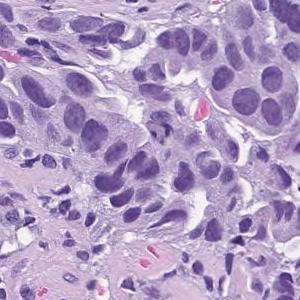
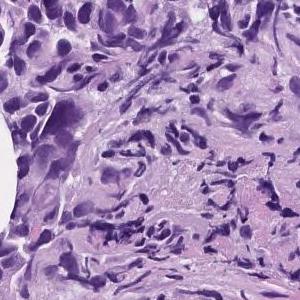
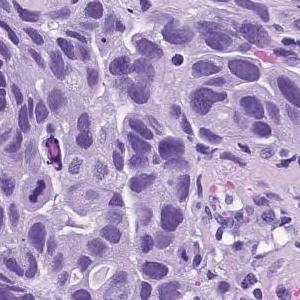
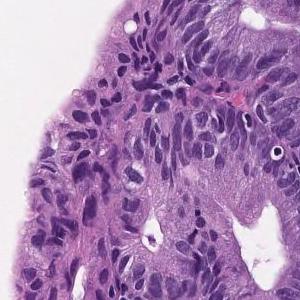
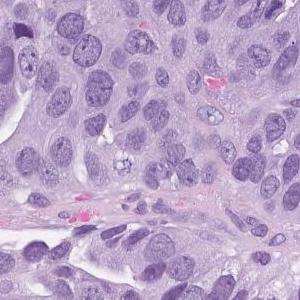
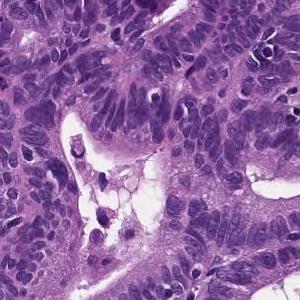
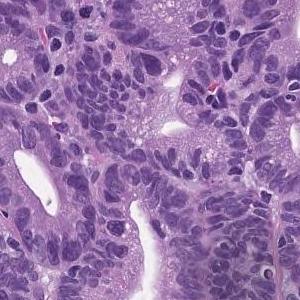
Hematoxylin and eosin stain; 7 tiles from the same stomach biopsy slide.
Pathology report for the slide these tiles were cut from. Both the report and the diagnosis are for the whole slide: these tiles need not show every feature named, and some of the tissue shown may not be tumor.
In the superficial epithelium, tumor tissue that invades by forming medium-sized to small, irregular ducts is observed. moderately differentiated tubular adenocarcinoma.
